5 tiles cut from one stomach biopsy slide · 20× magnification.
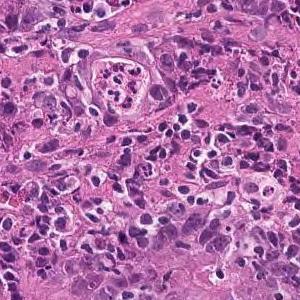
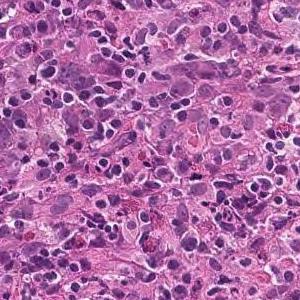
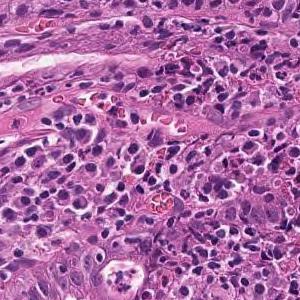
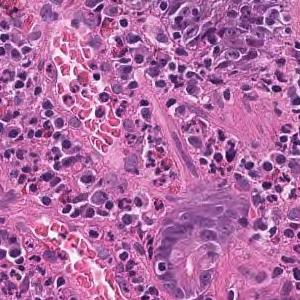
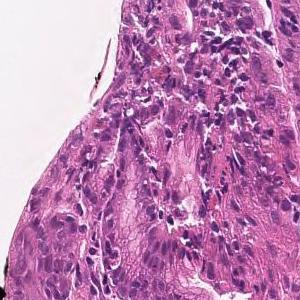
Diagnostic report for the slide these tiles come from. What the report and the diagnosis say applies to the whole slide; these tiles may miss some of the features named and may include tissue that is not tumor.
Tumor tissue consisting of medium-sized, cord-like or irregular glandular infiltration is observed in the superficial epithelium. Poorly differentiated adenocarcinoma, non-solid type or moderately differentiated tubular adenocarcinoma
The dataset labels this slide poorly differentiated adenocarcinoma, non-solid type.
"Non-solid type" is a category of the Japanese Classification of Gastric Carcinoma.
